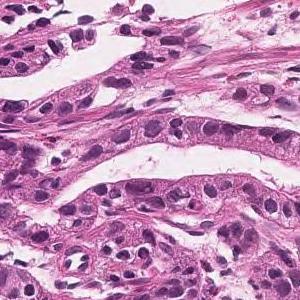
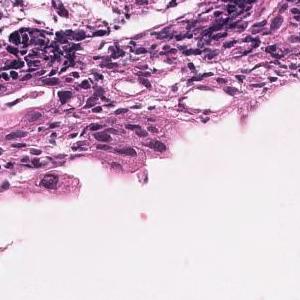
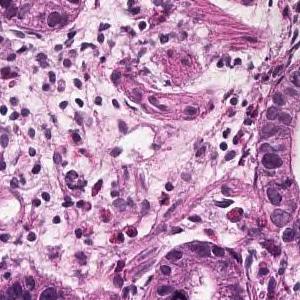
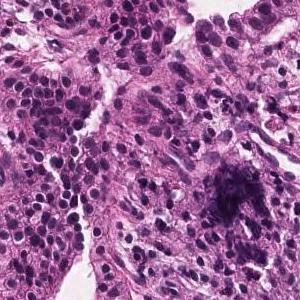
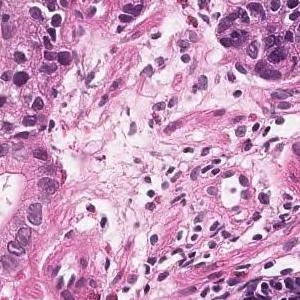
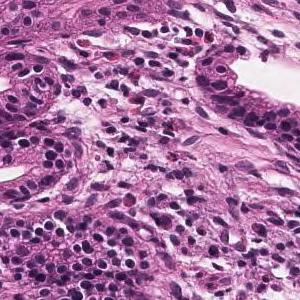
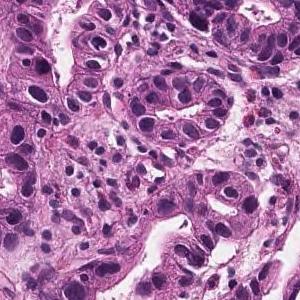
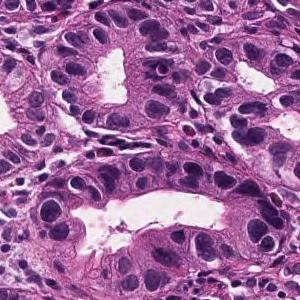
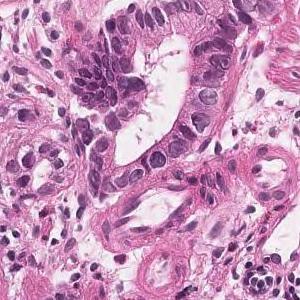
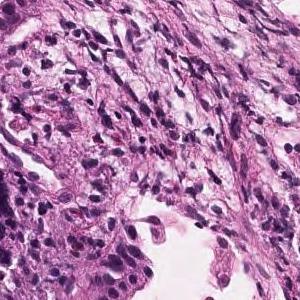
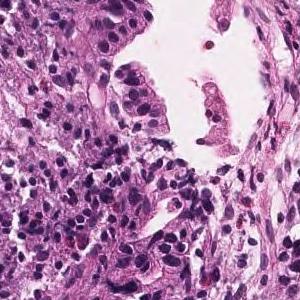
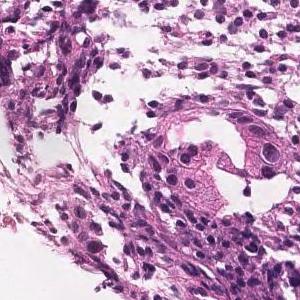
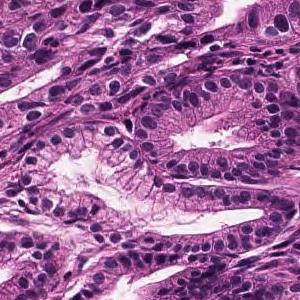
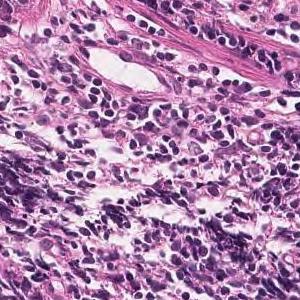
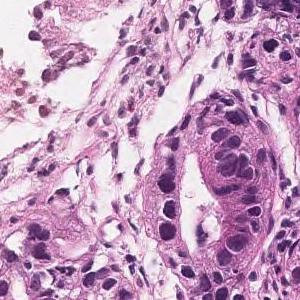
H&E; 20× magnification; 15 tiles from the same stomach biopsy slide; 300×300 px each.
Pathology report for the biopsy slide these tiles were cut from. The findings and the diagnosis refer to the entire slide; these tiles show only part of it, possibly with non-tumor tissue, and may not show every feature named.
Tumor tissue consisting of medium-sized and irregular ducts is observed infiltrating in the superficial epithelium. Tumor cells are highly columnar, with nuclei aligned basolaterally and polarized. Well differentiated tubular adenocarcinoma.
